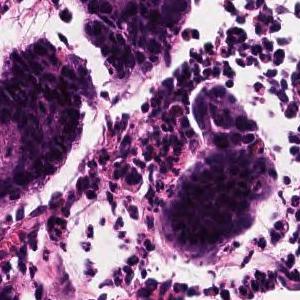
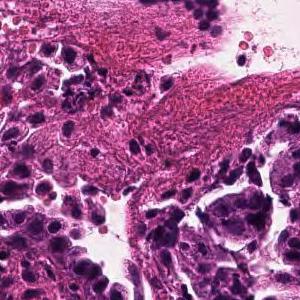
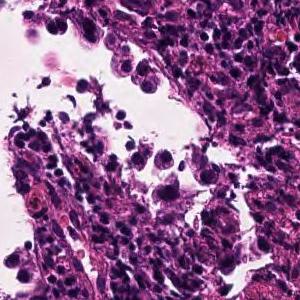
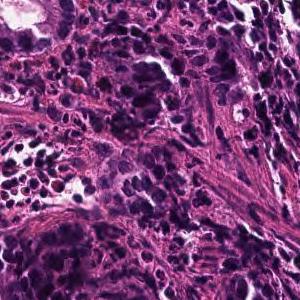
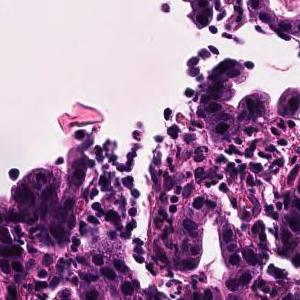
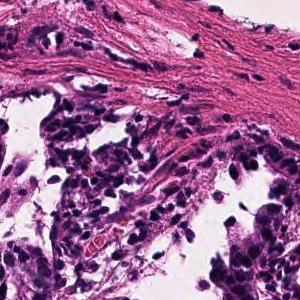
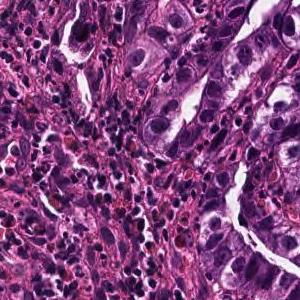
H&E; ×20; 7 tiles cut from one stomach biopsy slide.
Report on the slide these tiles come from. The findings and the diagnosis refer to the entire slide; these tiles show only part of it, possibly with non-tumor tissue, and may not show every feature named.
Tumor tissue consisting of large papillary structures is found in the superficial epithelium. Papillary adenocarcinoma.
